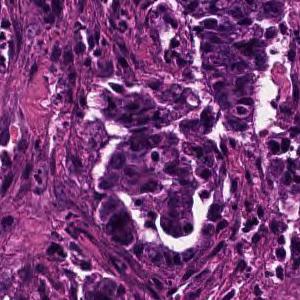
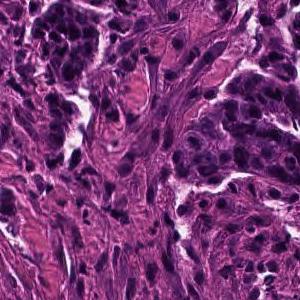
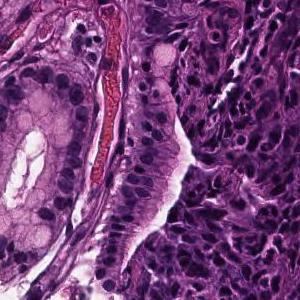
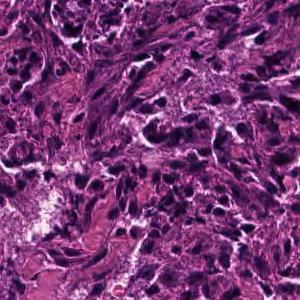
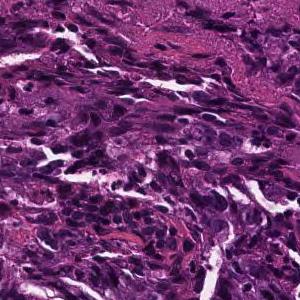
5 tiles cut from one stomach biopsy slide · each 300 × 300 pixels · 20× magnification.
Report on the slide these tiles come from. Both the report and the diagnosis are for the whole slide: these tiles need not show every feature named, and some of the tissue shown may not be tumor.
Tumor tissue consisting of medium-sized, cord-like or irregular glandular infiltration is observed in the superficial epithelium. Poorly differentiated adenocarcinoma, non-solid type or moderately differentiated tubular adenocarcinoma
Histologic type: Moderately to poorly differentiated adenocarcinoma.
The term "non-solid type" comes from the Japanese Classification of Gastric Carcinoma.
